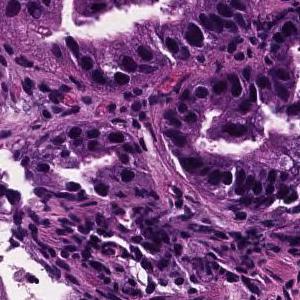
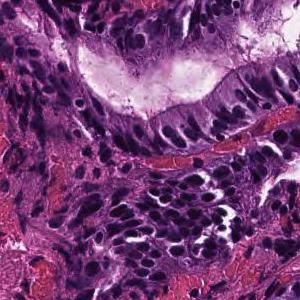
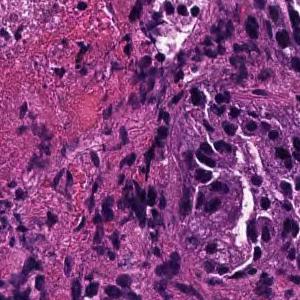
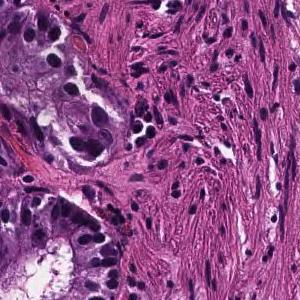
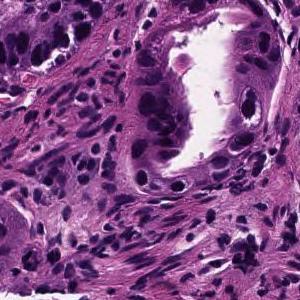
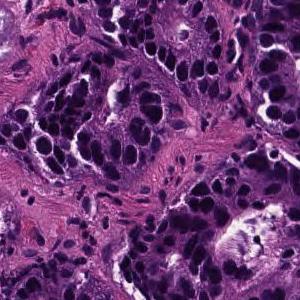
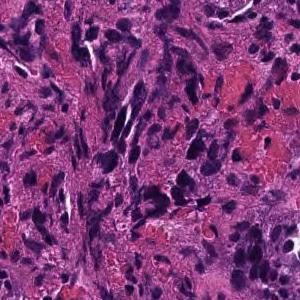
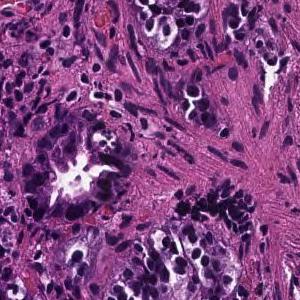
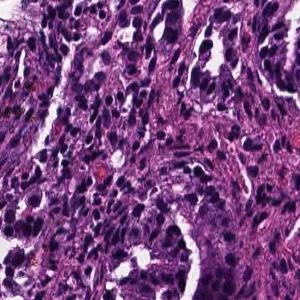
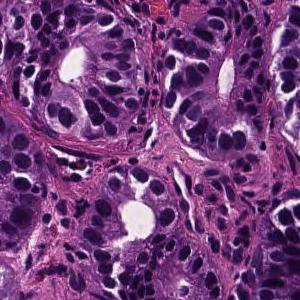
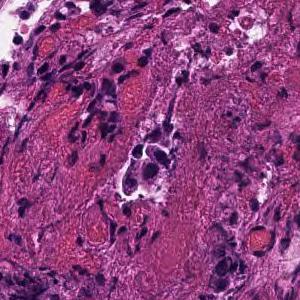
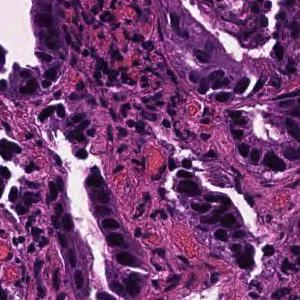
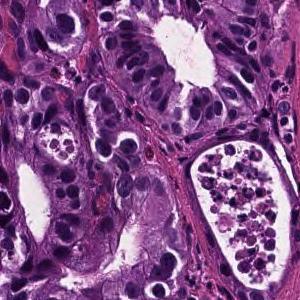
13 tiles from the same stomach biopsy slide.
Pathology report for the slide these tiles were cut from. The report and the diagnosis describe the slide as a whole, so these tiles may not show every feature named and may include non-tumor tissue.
Tumor tissue that grows invasively while the short atypical epithelium forms irregular ducts is observed. Well differentiated tubular adenocarcinoma
